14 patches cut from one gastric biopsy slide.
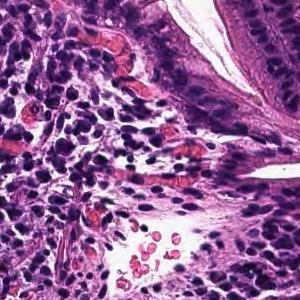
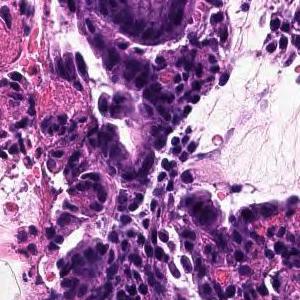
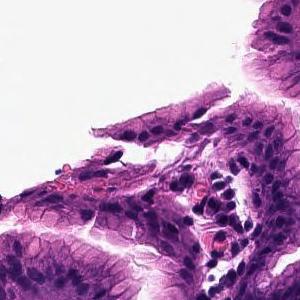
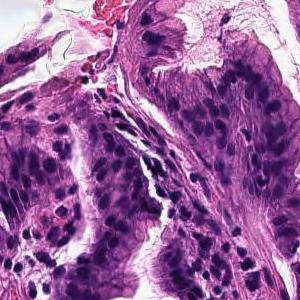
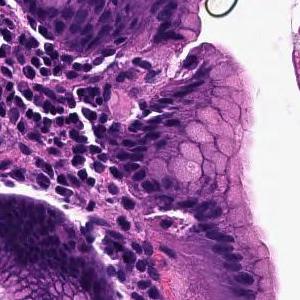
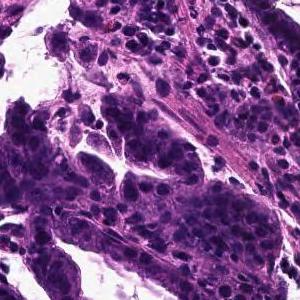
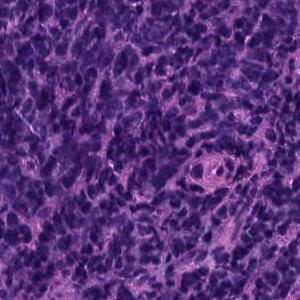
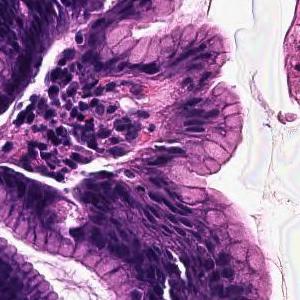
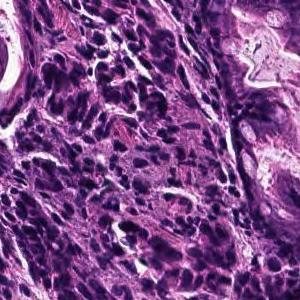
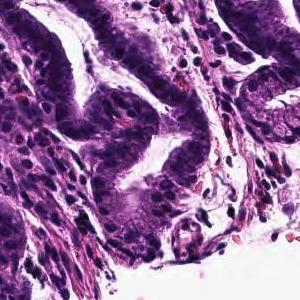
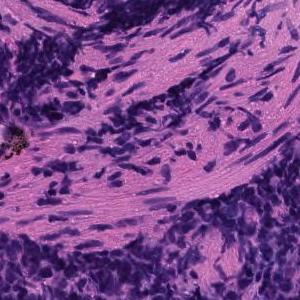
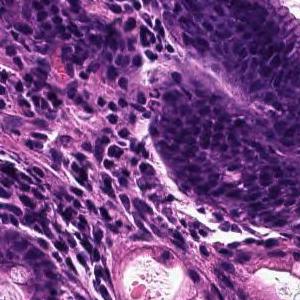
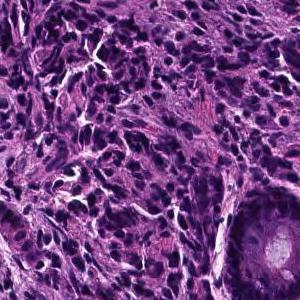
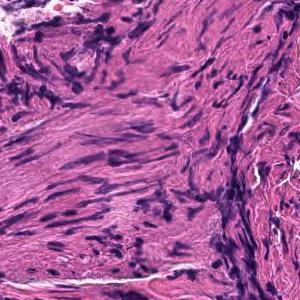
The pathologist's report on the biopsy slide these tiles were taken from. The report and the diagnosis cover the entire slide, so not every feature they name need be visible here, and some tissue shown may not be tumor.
The superficial epithelium shows a large sheet-like shape, and some tumor tissue infiltrates with small irregular ducts. Poorly differentiated adenocarcinoma, solid-type
Histological subtype: Poorly differentiated adenocarcinoma, solid type (Japanese Classification of Gastric Carcinoma). The WHO 2019 equivalent is tubular adenocarcinoma, poorly differentiated.
